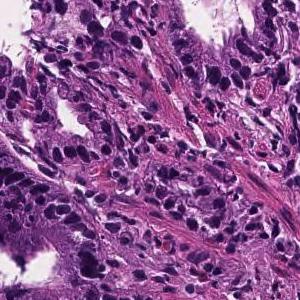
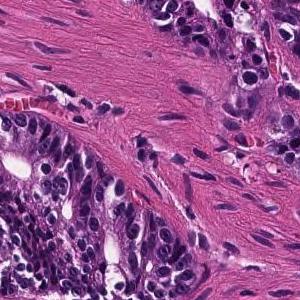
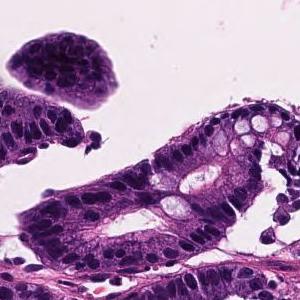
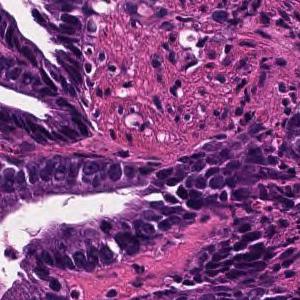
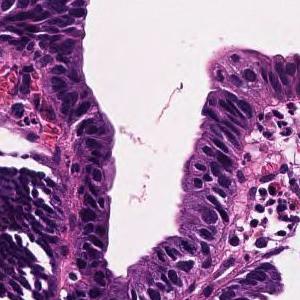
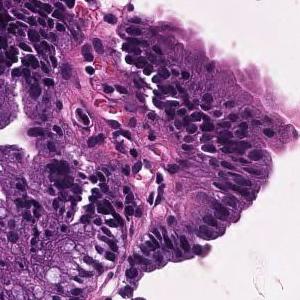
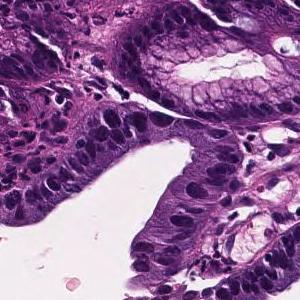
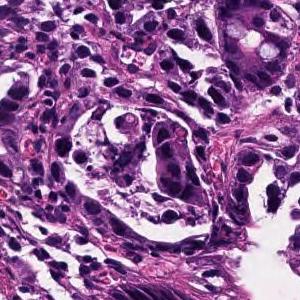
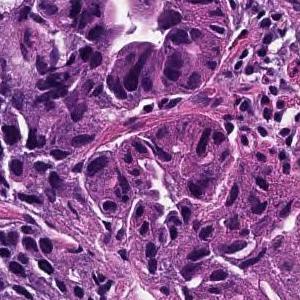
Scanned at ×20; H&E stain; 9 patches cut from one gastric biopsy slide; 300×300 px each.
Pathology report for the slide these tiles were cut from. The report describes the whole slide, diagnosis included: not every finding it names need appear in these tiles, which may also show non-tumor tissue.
Tumor cells are large, highly columnar, large club-shaped nuclei, and are associated with chromatin aggregation. Papillary adenocarcinoma.
